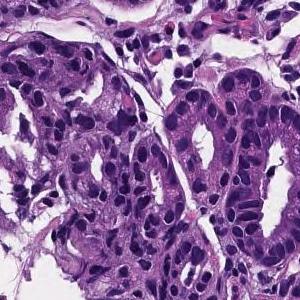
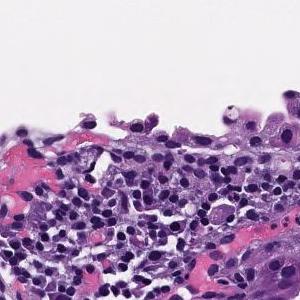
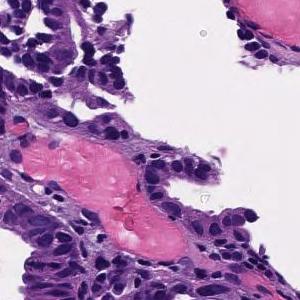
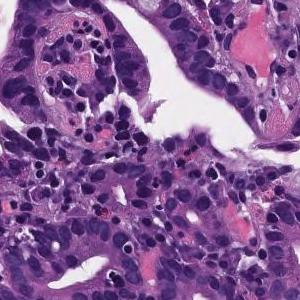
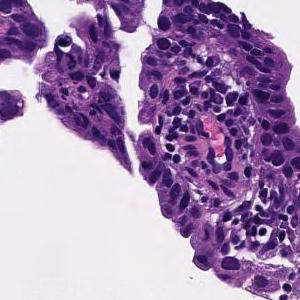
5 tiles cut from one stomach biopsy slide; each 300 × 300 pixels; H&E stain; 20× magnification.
The pathologist's report on the biopsy slide these tiles were taken from. The report describes the whole slide, diagnosis included: not every finding it names need appear in these tiles, which may also show non-tumor tissue.
From the superficial epithelium to the muscularis mucosae, tumor tissue consisting of medium-sized and irregular glandular ducts infiltrating is observed. Well differentiated tubular adenocarcinoma
